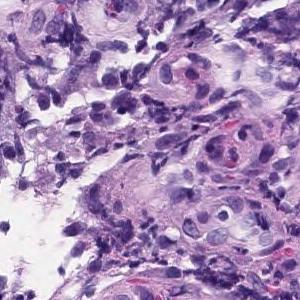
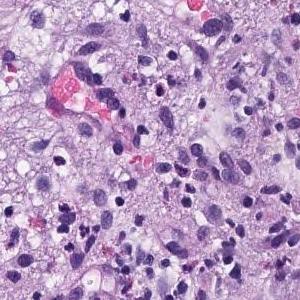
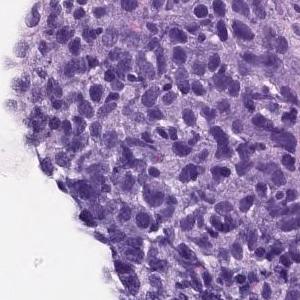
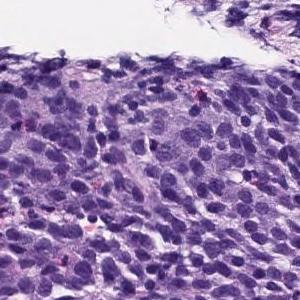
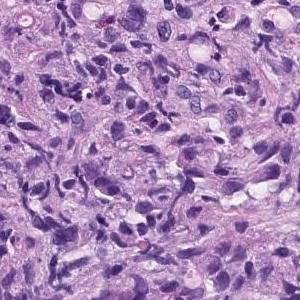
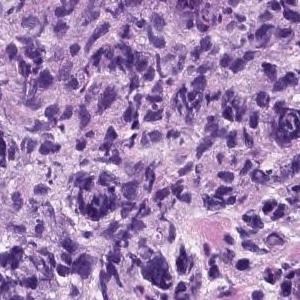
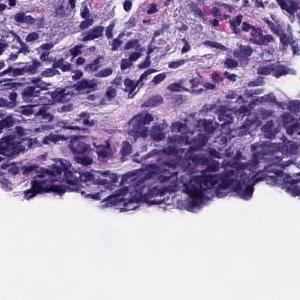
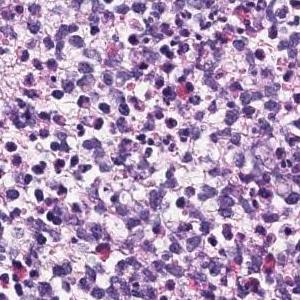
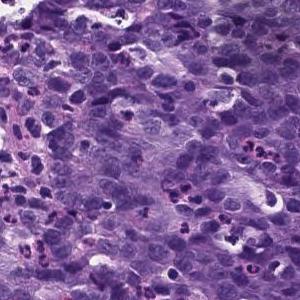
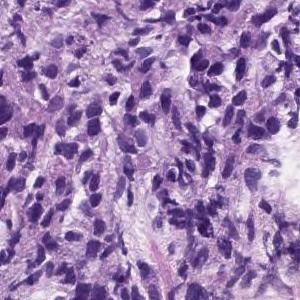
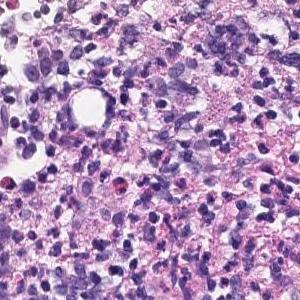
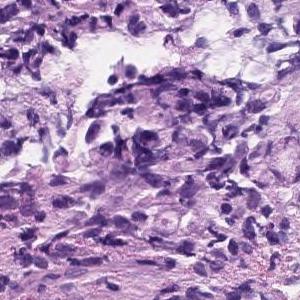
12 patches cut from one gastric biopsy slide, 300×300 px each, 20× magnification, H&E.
The pathologist's report on the biopsy slide these tiles were taken from. The findings and the diagnosis refer to the entire slide; these tiles show only part of it, possibly with non-tumor tissue, and may not show every feature named.
The superficial epithelium shows a large sheet-like shape, and some tumor tissue infiltrates with small irregular ducts. Poorly differentiated adenocarcinoma, solid-type
Classified as poorly differentiated adenocarcinoma, solid type, a category of the Japanese Classification of Gastric Carcinoma; in the WHO 2019 classification it is tubular adenocarcinoma, poorly differentiated.
